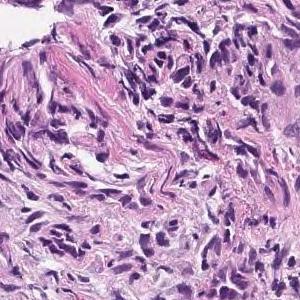
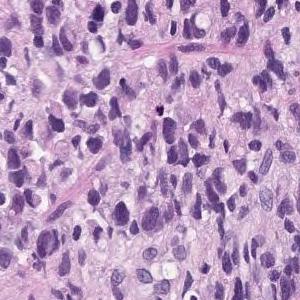
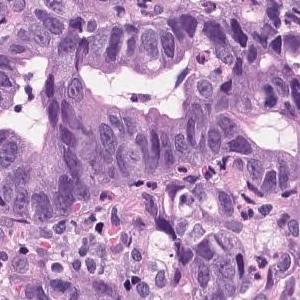
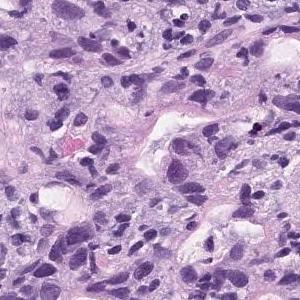
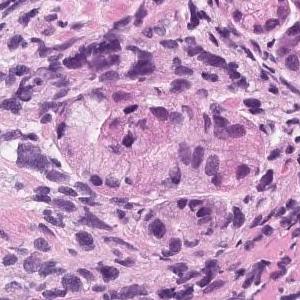
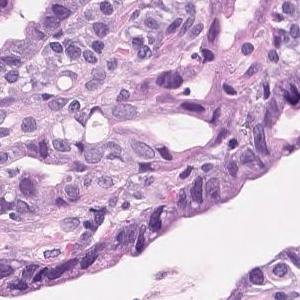
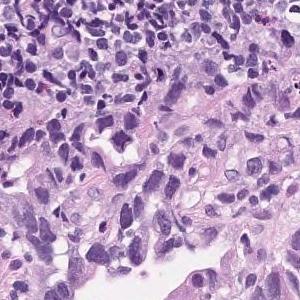
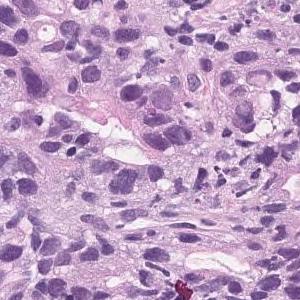
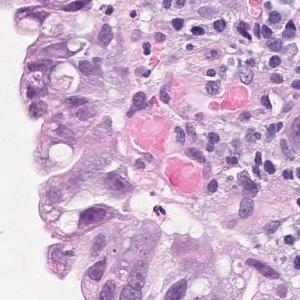
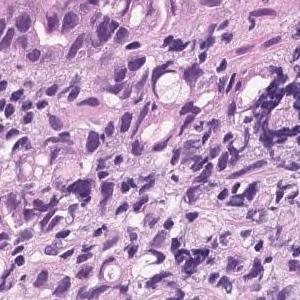
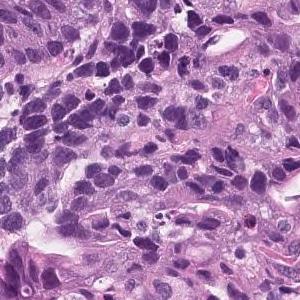
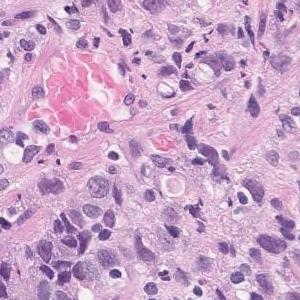
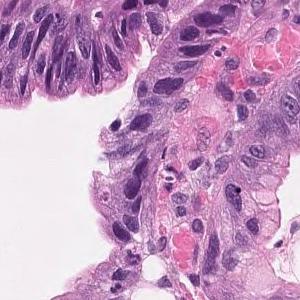
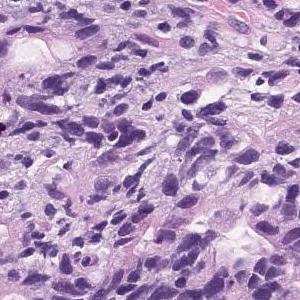
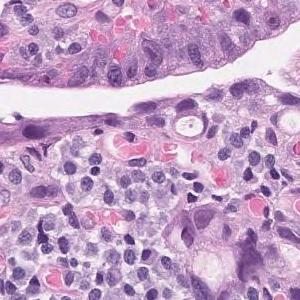
15 tiles from the same stomach biopsy slide · 300 × 300 pixels each · hematoxylin and eosin stain.
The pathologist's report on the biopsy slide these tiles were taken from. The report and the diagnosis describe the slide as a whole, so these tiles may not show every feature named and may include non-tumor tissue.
Tumor tissue consisting of medium-sized, cord-like or irregular glandular infiltration is observed in the superficial epithelium. Poorly differentiated adenocarcinoma, non-solid type or moderately differentiated tubular adenocarcinoma
Labeled in the dataset as poorly differentiated adenocarcinoma, non-solid type.
"Non-solid type" is a category of the Japanese Classification of Gastric Carcinoma.
